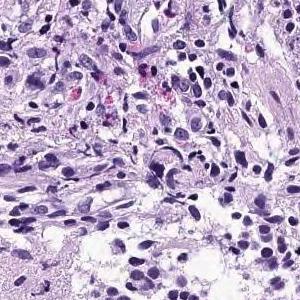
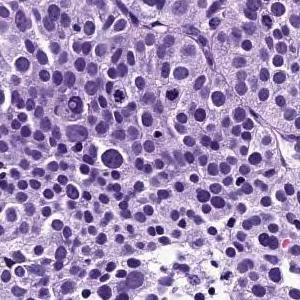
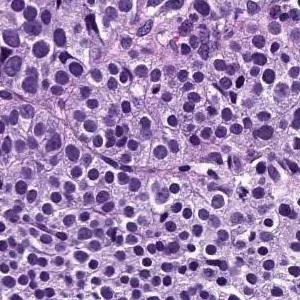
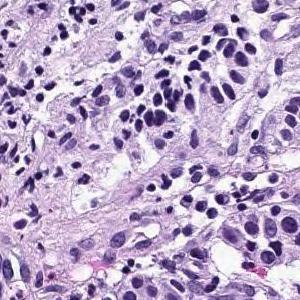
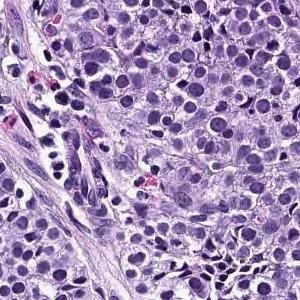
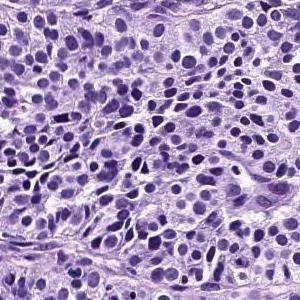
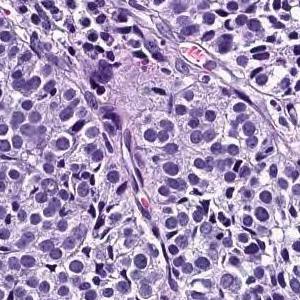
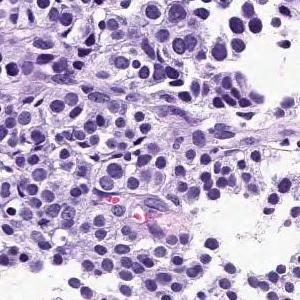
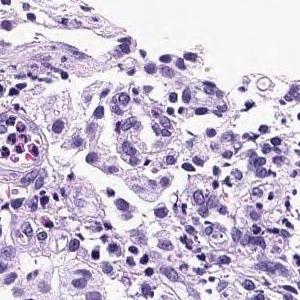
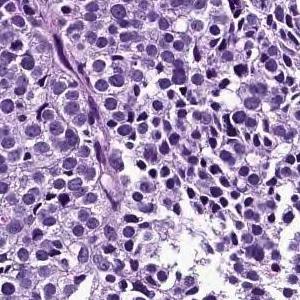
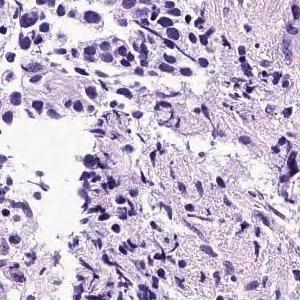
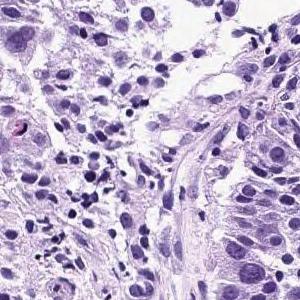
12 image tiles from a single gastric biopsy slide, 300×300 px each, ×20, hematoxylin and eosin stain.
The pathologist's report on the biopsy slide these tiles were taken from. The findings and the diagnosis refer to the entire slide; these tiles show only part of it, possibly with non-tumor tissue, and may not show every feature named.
Large sheet-like or diffusely infiltrating tumor tissue is found in the superficial epithelium. Poorly differentiated adenocarcinoma, solid-type
Classified as poorly differentiated adenocarcinoma, solid type. This name comes from the Japanese Classification of Gastric Carcinoma; the WHO 2019 classification calls it tubular adenocarcinoma, poorly differentiated.
